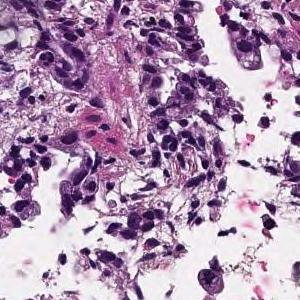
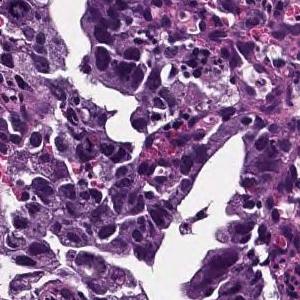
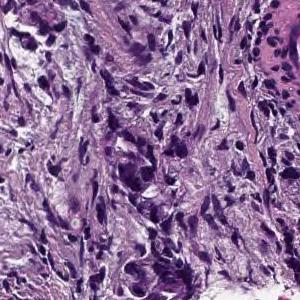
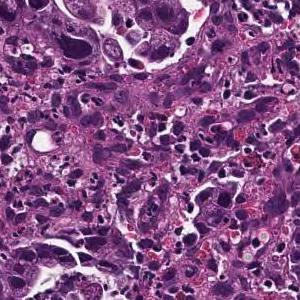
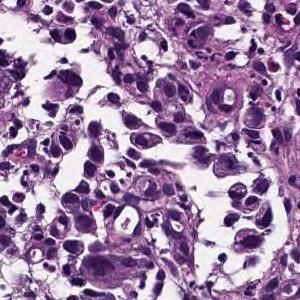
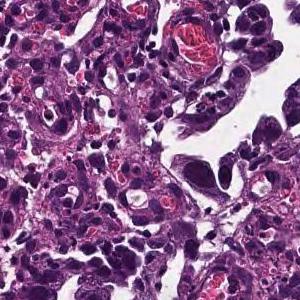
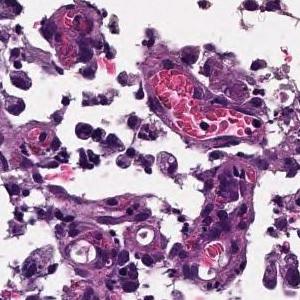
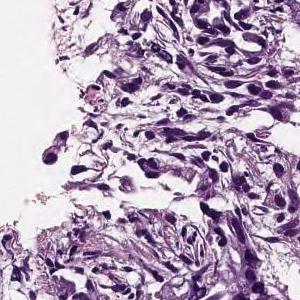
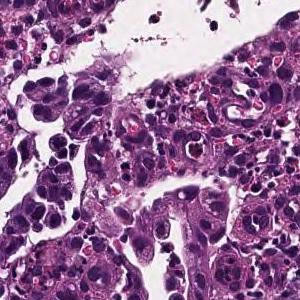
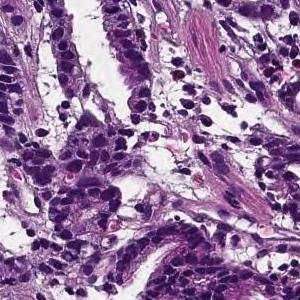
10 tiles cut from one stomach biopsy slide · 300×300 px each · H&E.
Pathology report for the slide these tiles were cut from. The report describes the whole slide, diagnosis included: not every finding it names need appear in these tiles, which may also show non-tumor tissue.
Medium to small, irregular glandular ducts are formed in the superficial epithelium, and in some cases, the glandular ducts are fused to show solid alveolar lesions and infiltrating tumor tissue is observed. Moderately to poorly differentiated adenocarcinoma.
